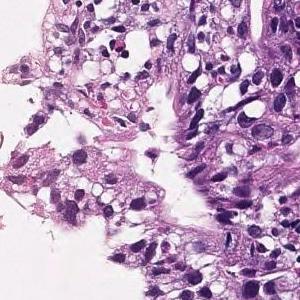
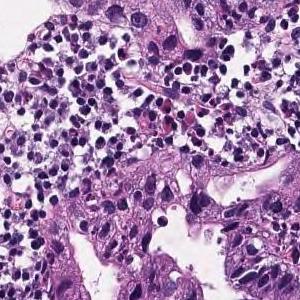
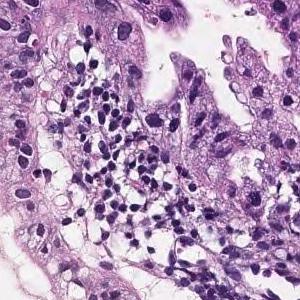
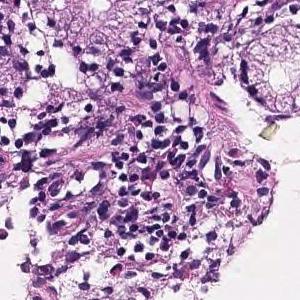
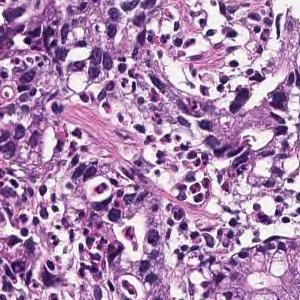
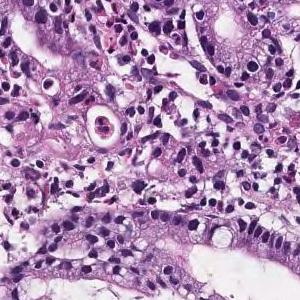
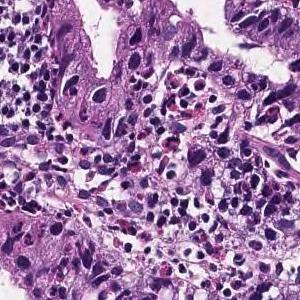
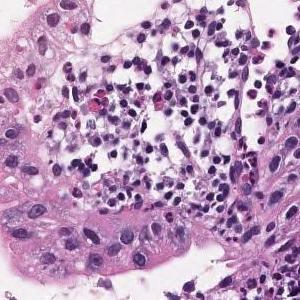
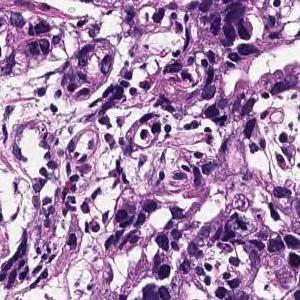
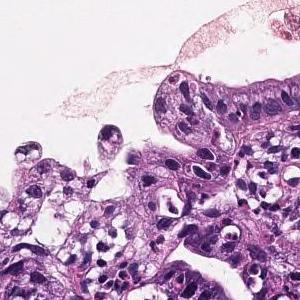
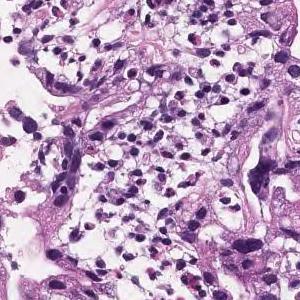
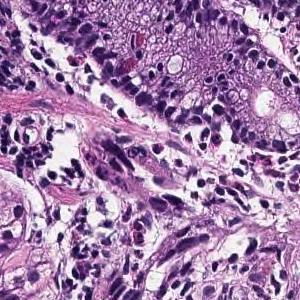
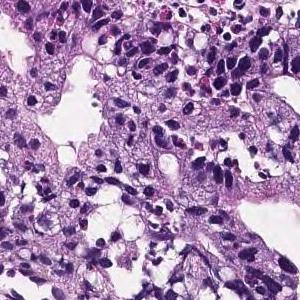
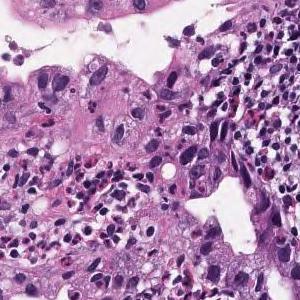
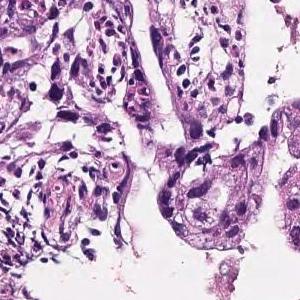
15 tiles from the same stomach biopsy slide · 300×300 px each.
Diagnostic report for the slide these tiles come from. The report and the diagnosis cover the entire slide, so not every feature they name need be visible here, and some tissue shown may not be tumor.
In the superficial epithelium, tumor tissue that invades by forming medium-sized to small, irregular ducts is observed. moderately differentiated tubular adenocarcinoma.
